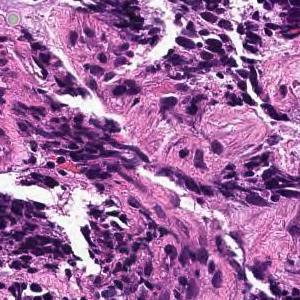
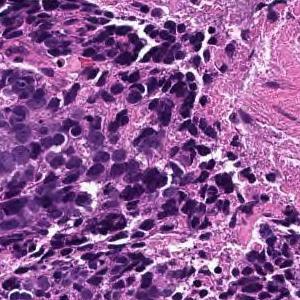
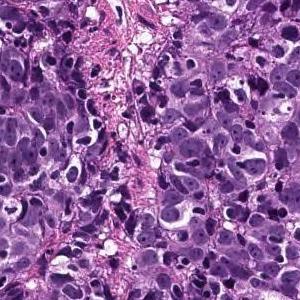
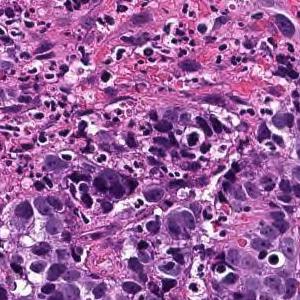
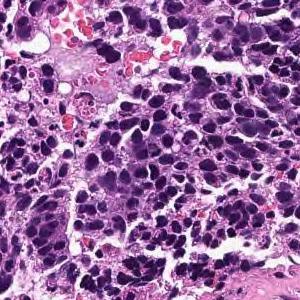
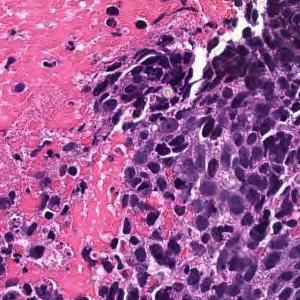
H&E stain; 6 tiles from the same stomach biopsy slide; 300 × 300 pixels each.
Diagnostic report for the slide these tiles come from. The report describes the whole slide, diagnosis included: not every finding it names need appear in these tiles, which may also show non-tumor tissue.
The superficial epithelium shows a large sheet or alveolar shape, and tumor tissue infiltrating without irregular ducts is observed. Poorly differentiated adenocarcinoma, solid-type
Subtype: Poorly differentiated adenocarcinoma, solid type. This name comes from the Japanese Classification of Gastric Carcinoma; the WHO 2019 classification calls it tubular adenocarcinoma, poorly differentiated.
